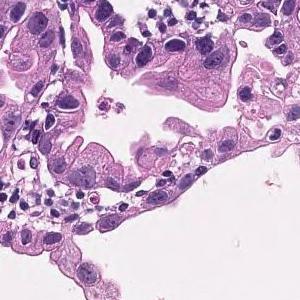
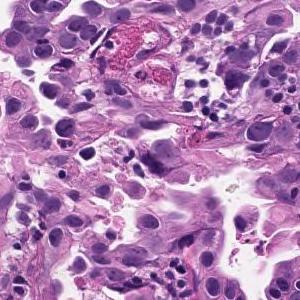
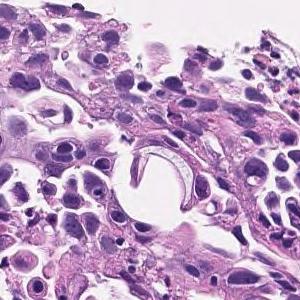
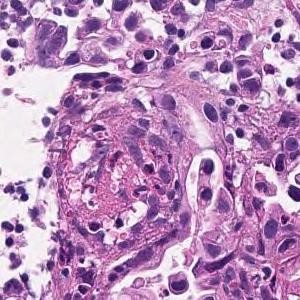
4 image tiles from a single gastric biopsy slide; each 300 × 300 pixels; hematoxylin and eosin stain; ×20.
Report on the slide these tiles come from. The report and the diagnosis cover the entire slide, so not every feature they name need be visible here, and some tissue shown may not be tumor.
In the superficial epithelium, tumor tissue that invades by forming medium-sized to small, irregular ducts is observed. moderately differentiated tubular adenocarcinoma.
